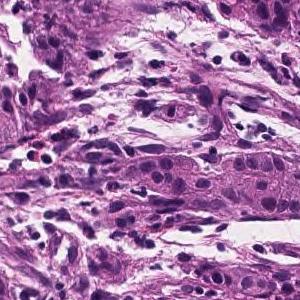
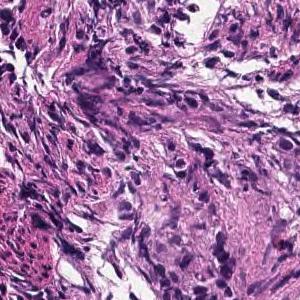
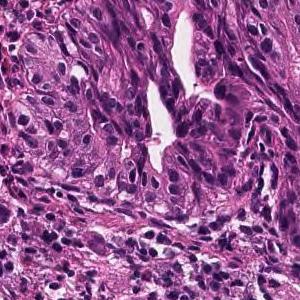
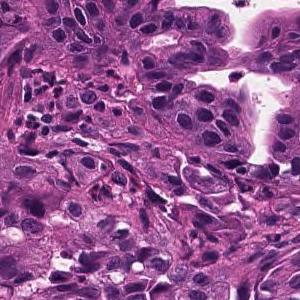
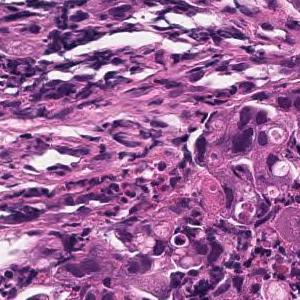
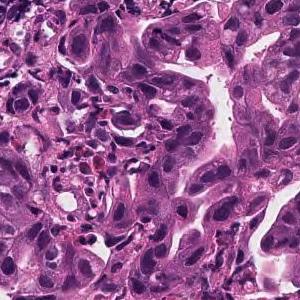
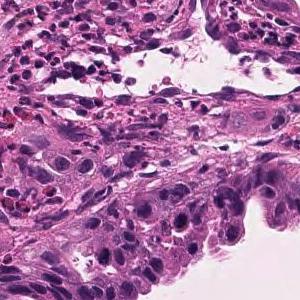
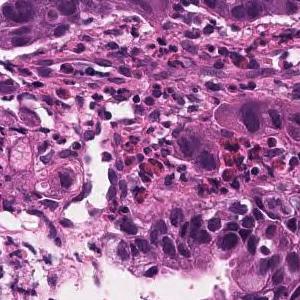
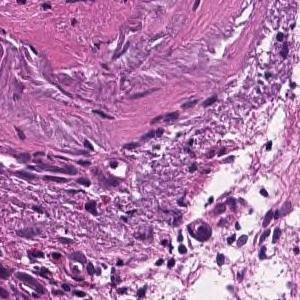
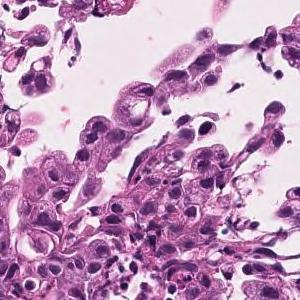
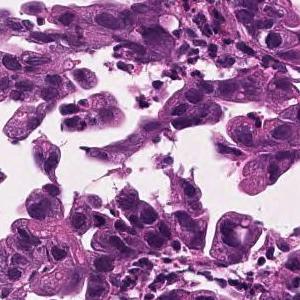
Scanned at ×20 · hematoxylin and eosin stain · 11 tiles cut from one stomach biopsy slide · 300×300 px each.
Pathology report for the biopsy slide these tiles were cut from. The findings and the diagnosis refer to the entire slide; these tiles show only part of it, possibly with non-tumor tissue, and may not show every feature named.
Tumor tissue consisting of medium-sized, cord-like or irregular glandular infiltration is observed in the superficial epithelium. Poorly differentiated adenocarcinoma, non-solid type or moderately differentiated tubular adenocarcinoma
"Non-solid type" is a category of the Japanese Classification of Gastric Carcinoma.
